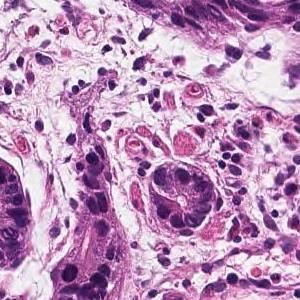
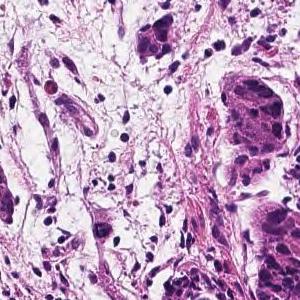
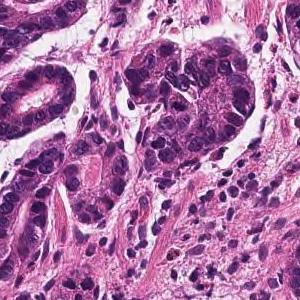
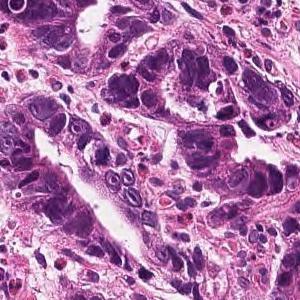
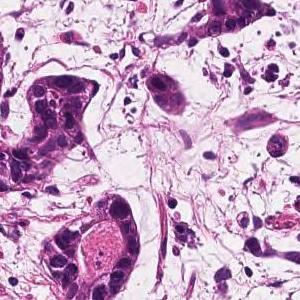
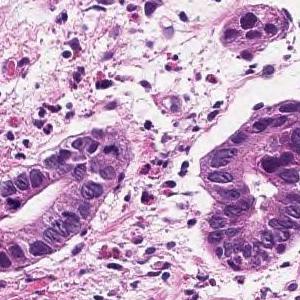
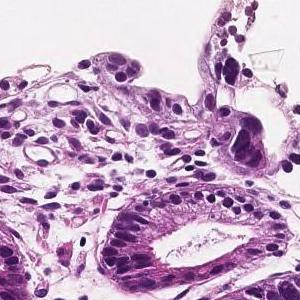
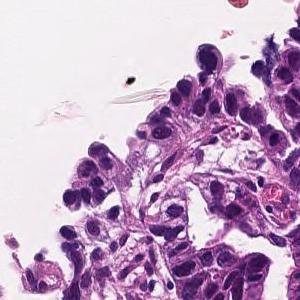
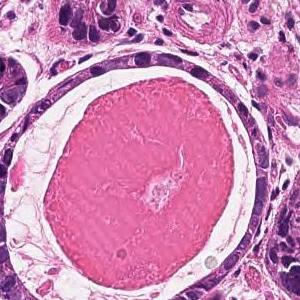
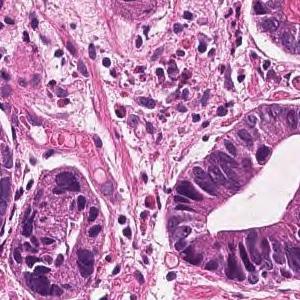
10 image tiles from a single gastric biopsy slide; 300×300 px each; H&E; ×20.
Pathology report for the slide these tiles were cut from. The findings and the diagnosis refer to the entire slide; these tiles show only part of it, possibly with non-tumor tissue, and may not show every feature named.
In the superficial epithelium, tumor tissue that invades by forming medium-sized to small, irregular ducts is observed. Well differentiated tubular adenocarcinoma.
